H&E, 20× magnification, 10 image tiles from a single gastric biopsy slide.
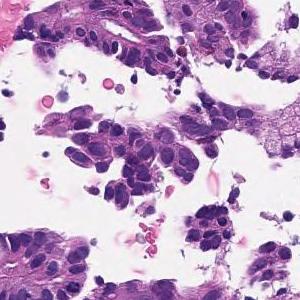
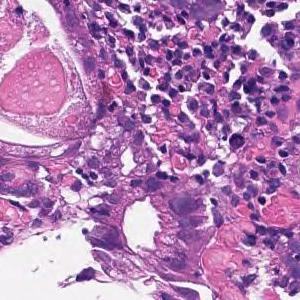
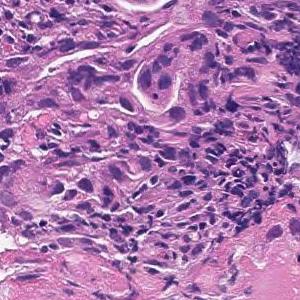
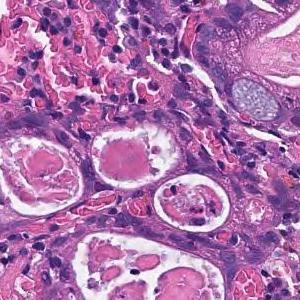
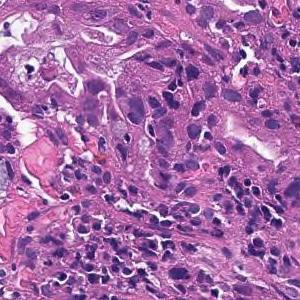
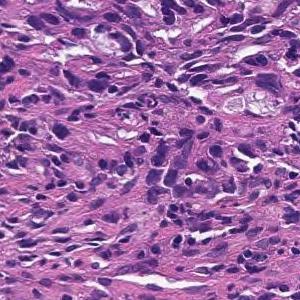
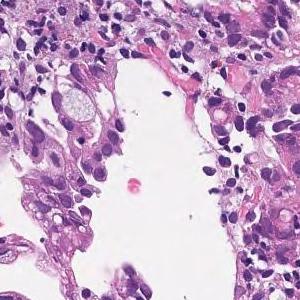
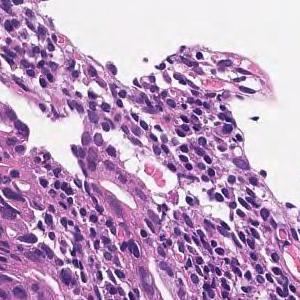
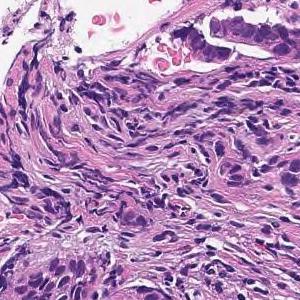
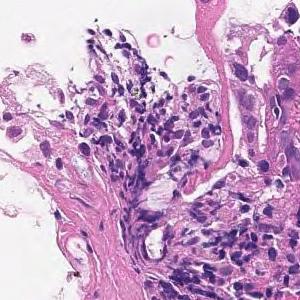
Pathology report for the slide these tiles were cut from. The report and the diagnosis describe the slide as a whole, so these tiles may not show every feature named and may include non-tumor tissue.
In the superficial epithelium, tumor tissue that invades by forming medium-sized to small, irregular ducts is observed. moderately differentiated tubular adenocarcinoma.
